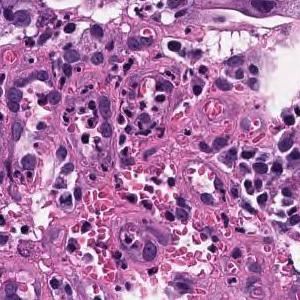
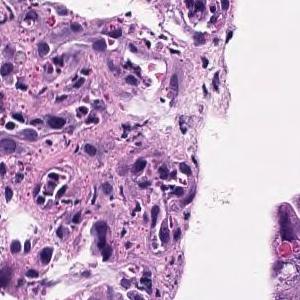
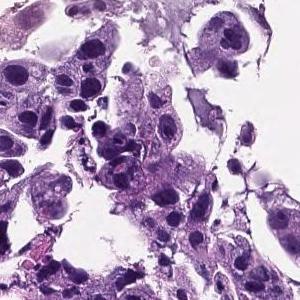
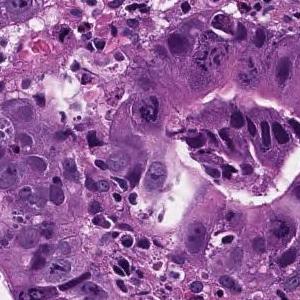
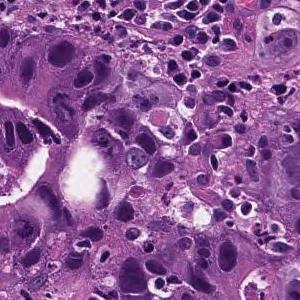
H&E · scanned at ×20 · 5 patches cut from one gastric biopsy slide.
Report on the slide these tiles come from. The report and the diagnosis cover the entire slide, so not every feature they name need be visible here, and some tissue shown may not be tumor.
In the superficial epithelium, medium to small irregular gland ducts are formed, and in some cases, the ducts are fused to show solid alveolar lesions and infiltrating tumor tissue is observed. Moderately to poorly differentiated adenocarcinoma
